6 tiles cut from one stomach biopsy slide; each 300 × 300 pixels; H&E stain; 20× magnification.
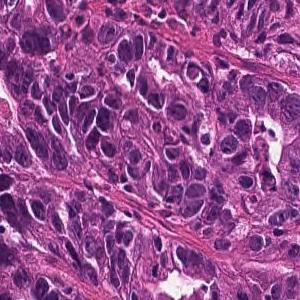
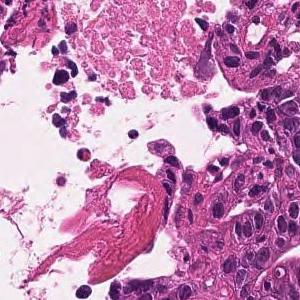
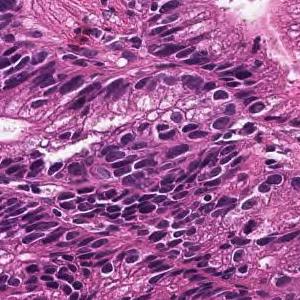
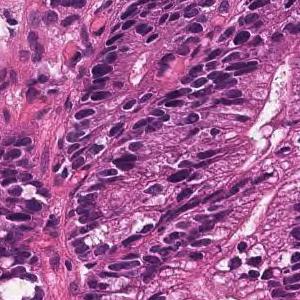
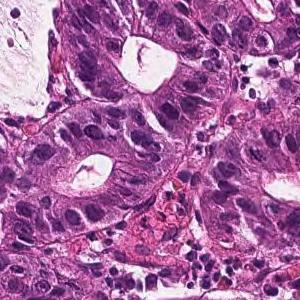
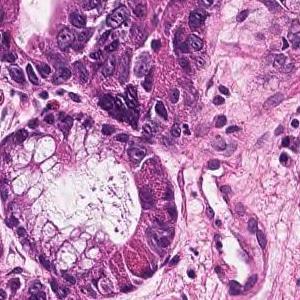
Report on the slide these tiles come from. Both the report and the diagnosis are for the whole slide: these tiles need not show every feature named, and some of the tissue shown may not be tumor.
In the superficial epithelium, tumor tissue that invades by forming medium-sized to small, irregular ducts is observed. moderately differentiated tubular adenocarcinoma.
